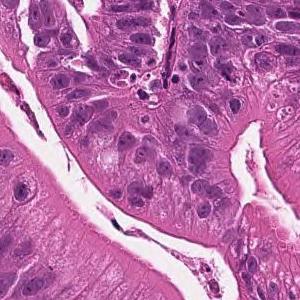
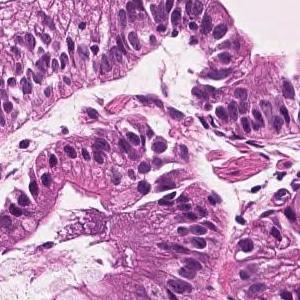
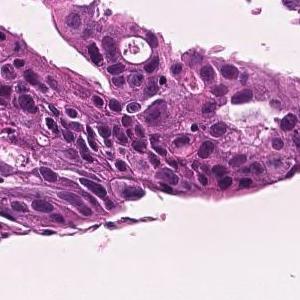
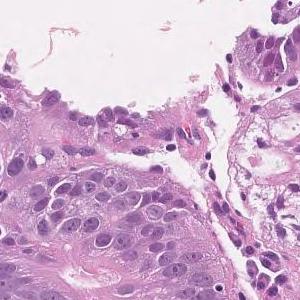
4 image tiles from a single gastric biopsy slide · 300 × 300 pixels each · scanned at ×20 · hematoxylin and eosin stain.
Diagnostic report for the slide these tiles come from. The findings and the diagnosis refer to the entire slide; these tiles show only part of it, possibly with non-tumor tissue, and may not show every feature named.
Tumor cells are large, highly columnar, large club-shaped nuclei, and are associated with chromatin aggregation. Papillary adenocarcinoma.
